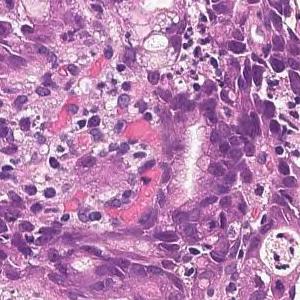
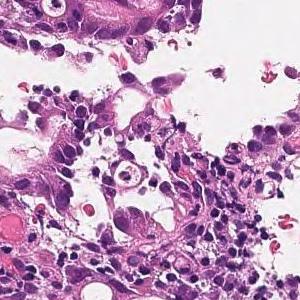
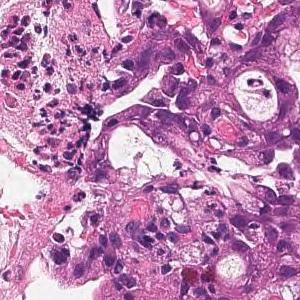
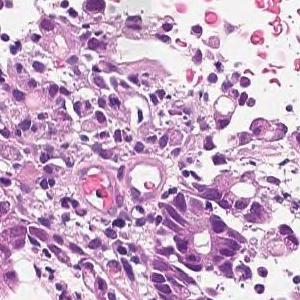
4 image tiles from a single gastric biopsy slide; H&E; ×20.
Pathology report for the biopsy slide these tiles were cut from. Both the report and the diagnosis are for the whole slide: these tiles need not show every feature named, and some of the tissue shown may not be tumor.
In the superficial epithelium, tumor tissue that invades by forming medium-sized to small, irregular ducts is observed. moderately differentiated tubular adenocarcinoma.
